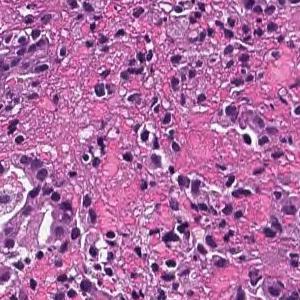
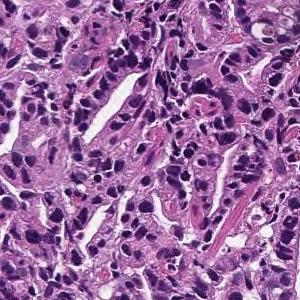
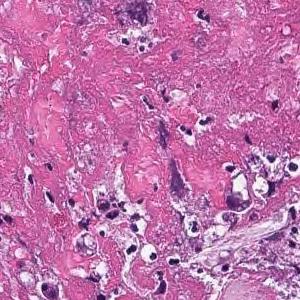
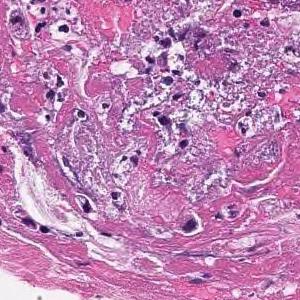
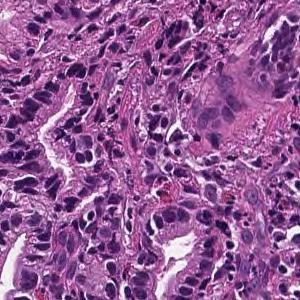
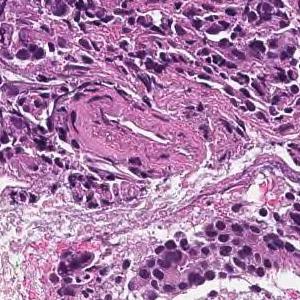
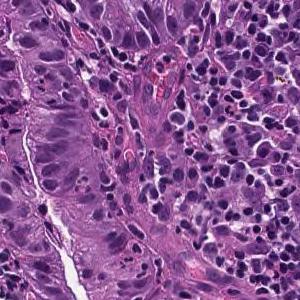
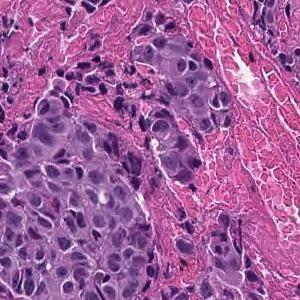
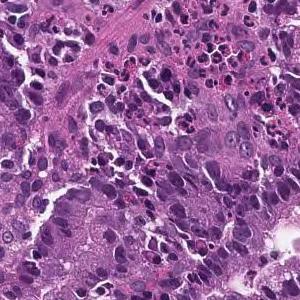
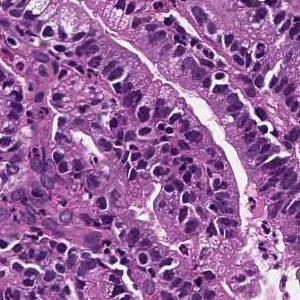
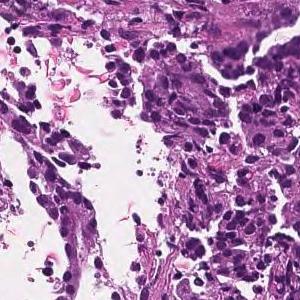
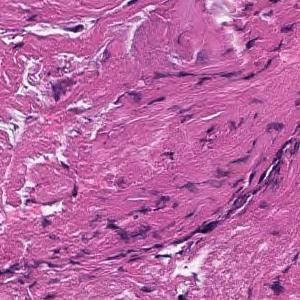
12 tiles cut from one stomach biopsy slide; each 300 × 300 pixels; hematoxylin and eosin stain; ×20.
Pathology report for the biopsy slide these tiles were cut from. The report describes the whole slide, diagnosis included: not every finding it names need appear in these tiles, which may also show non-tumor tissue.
On the superficial epithelium, tumor tissue that infiltrates by forming medium-sized papillary or small irregular ducts is observed. Papillary adenocarcinoma
